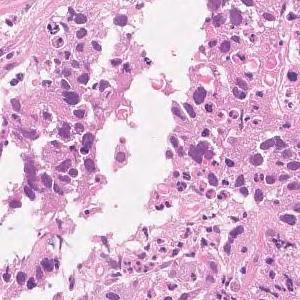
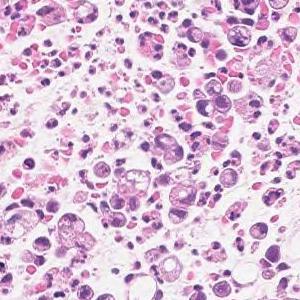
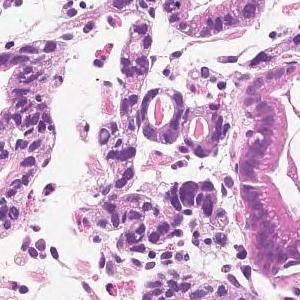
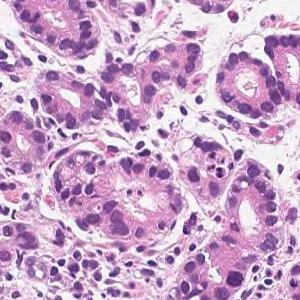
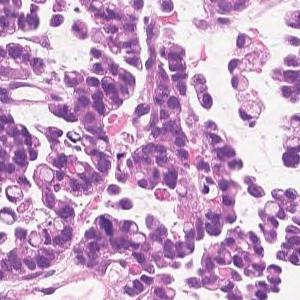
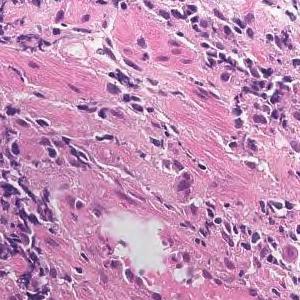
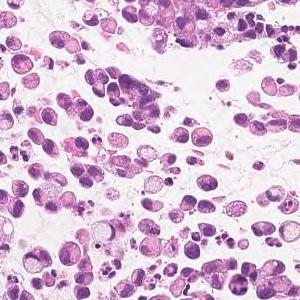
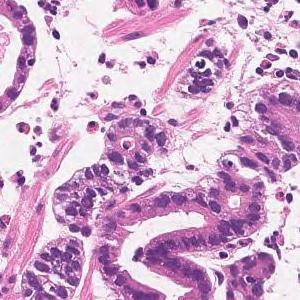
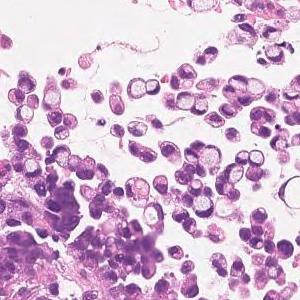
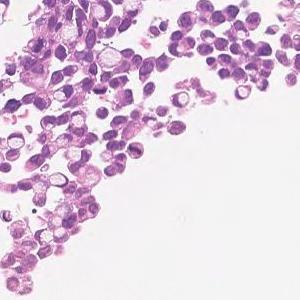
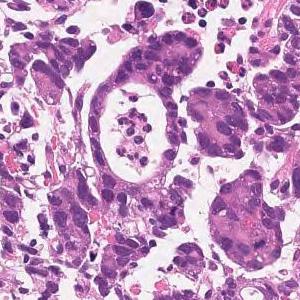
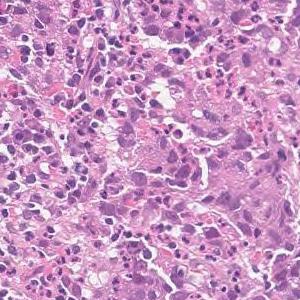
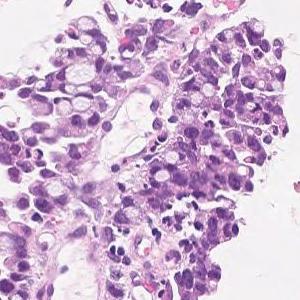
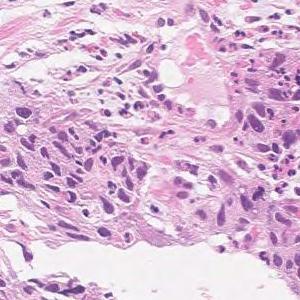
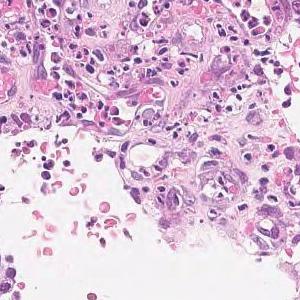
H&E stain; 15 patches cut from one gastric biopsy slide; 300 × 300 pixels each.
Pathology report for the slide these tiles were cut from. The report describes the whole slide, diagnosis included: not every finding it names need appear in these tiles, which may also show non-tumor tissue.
Medium to small, irregular glandular ducts are formed in the superficial epithelium, and in some cases, the glandular ducts are fused to show solid alveolar lesions and infiltrating tumor tissue is observed. Moderately to poorly differentiated adenocarcinoma.
